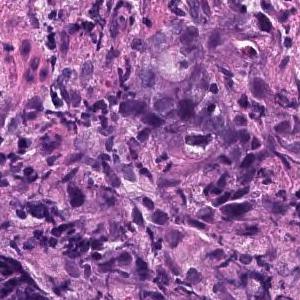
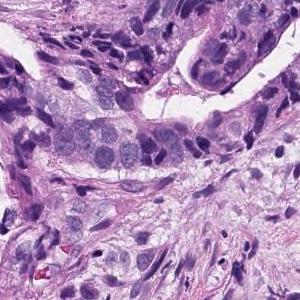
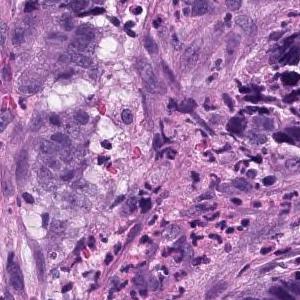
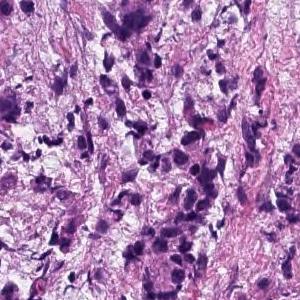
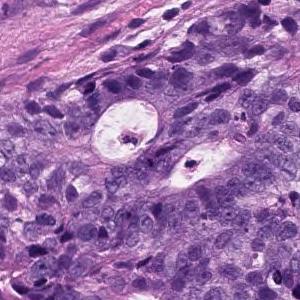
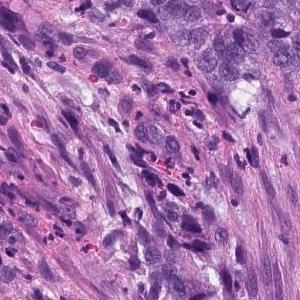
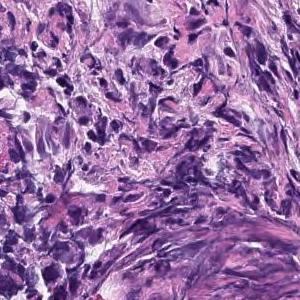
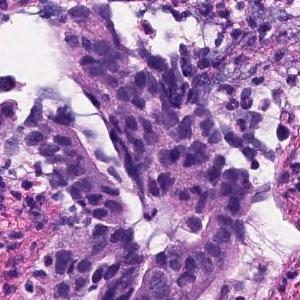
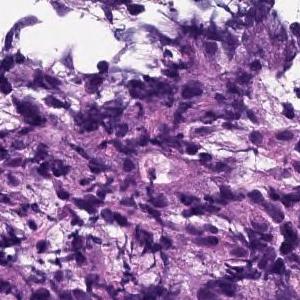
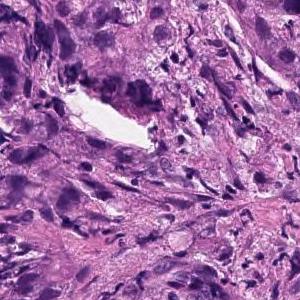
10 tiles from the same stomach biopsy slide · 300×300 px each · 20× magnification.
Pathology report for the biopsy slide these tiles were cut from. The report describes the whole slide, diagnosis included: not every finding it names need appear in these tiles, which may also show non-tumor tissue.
Medium to small, irregular glandular ducts are formed in the superficial epithelium, and in some cases, the glandular ducts are fused to show solid alveolar lesions and infiltrating tumor tissue is observed. Moderately to poorly differentiated adenocarcinoma.
